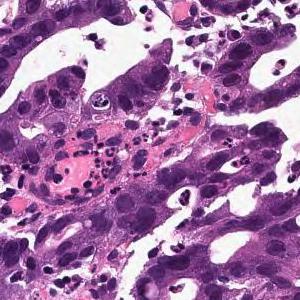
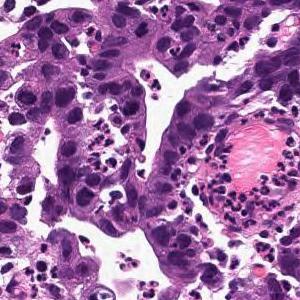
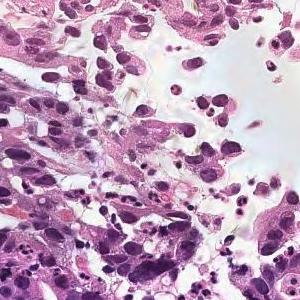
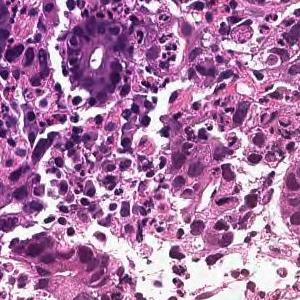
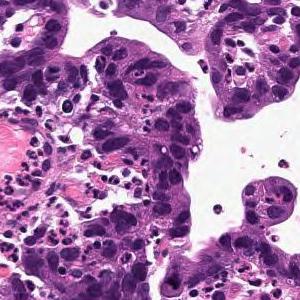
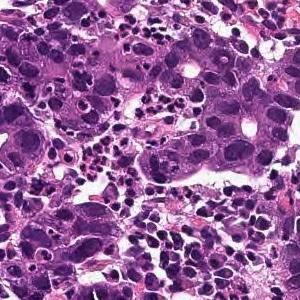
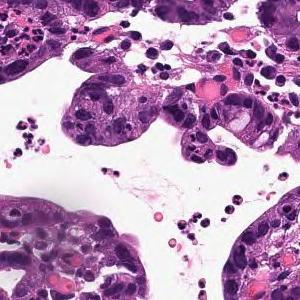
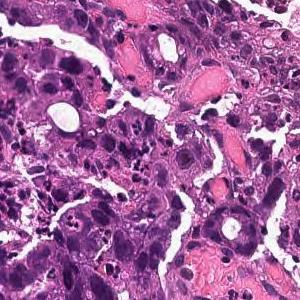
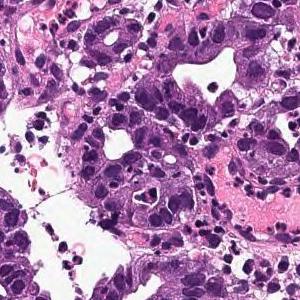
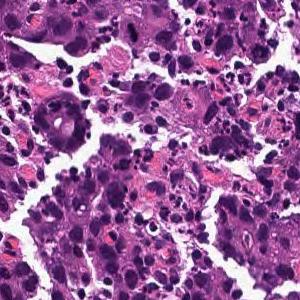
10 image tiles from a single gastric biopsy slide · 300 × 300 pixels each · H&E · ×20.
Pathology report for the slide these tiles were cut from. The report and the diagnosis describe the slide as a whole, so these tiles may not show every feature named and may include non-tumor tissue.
On the superficial epithelium, a tumor tissue consisting of a large, irregular glandular duct partially fused and infiltrating with a small alveolar shape is observed. Well or moderately differentiated tubular adenocarcinoma (well differentiated tubular adenocarcinoma, moderately differentiated tubular adenocarcinoma)
Histological subtype: Well to moderately differentiated tubular adenocarcinoma.
